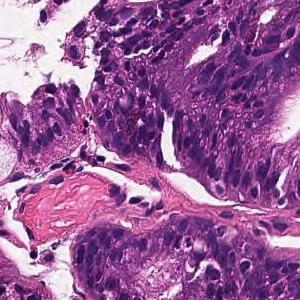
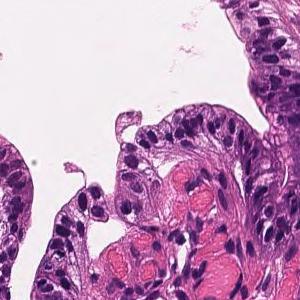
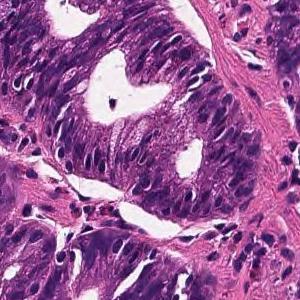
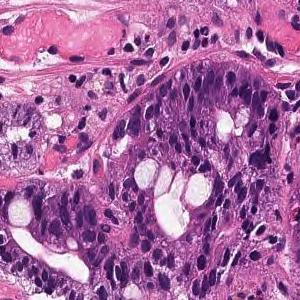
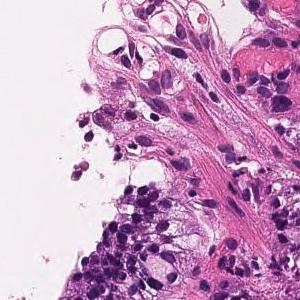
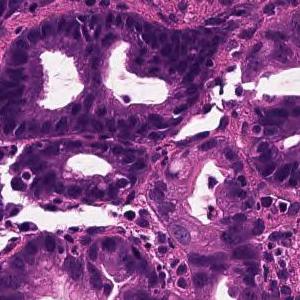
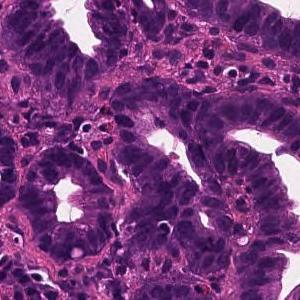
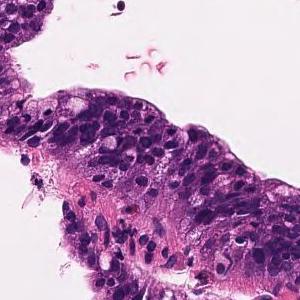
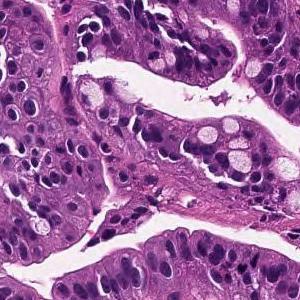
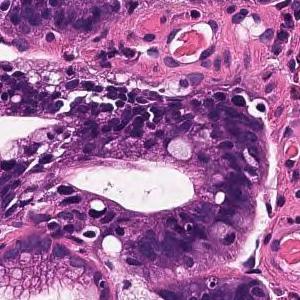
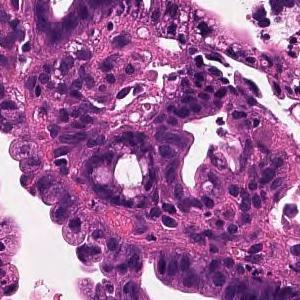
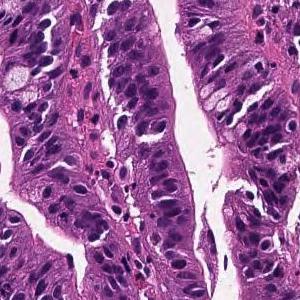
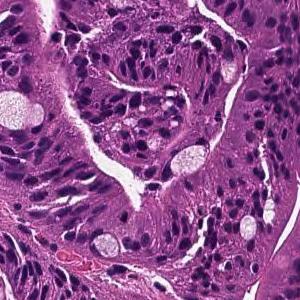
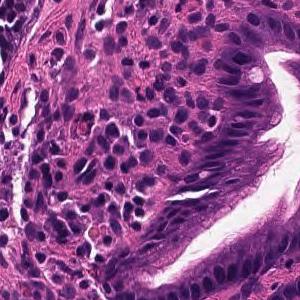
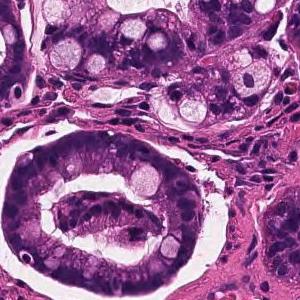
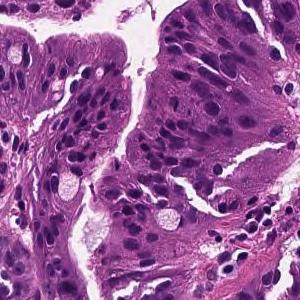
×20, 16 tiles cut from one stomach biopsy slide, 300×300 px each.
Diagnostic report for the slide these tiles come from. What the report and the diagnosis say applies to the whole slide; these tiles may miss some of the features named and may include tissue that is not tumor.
On the superficial epithelium, tumor tissue that infiltrates by forming medium-sized papillary or small irregular ducts is observed. Papillary adenocarcinoma
